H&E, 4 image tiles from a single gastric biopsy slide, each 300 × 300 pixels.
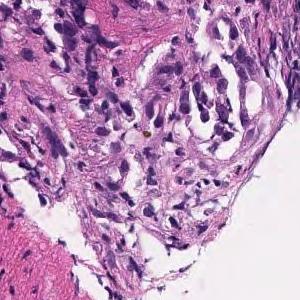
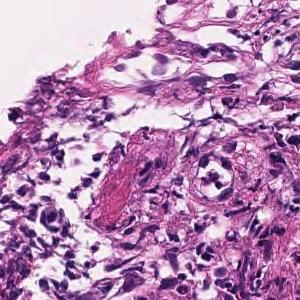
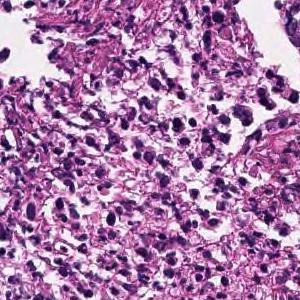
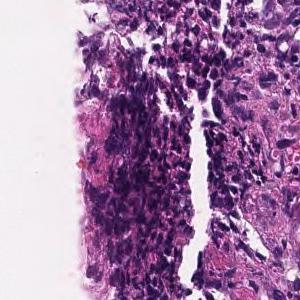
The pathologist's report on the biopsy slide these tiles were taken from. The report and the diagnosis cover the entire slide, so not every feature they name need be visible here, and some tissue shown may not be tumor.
In the superficial epithelium, medium to small, irregular gland ducts are formed, and in some cases, the gland ducts are fused to show solid alveolar lesions and infiltrating tumor tissue is observed. Moderately to poorly differentiated adenocarcinoma.
